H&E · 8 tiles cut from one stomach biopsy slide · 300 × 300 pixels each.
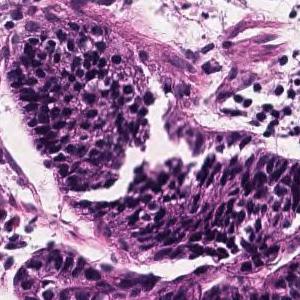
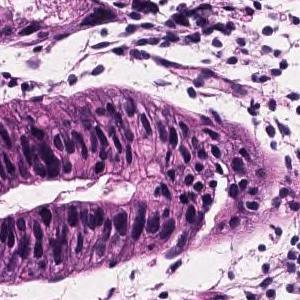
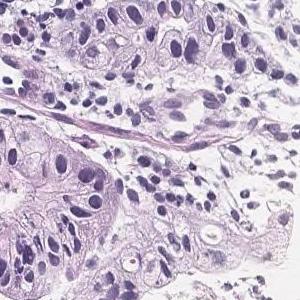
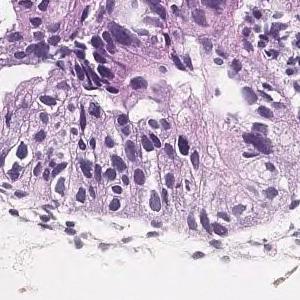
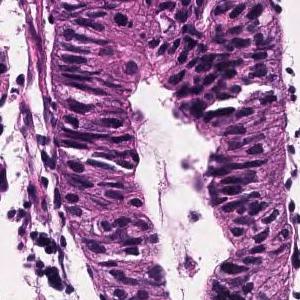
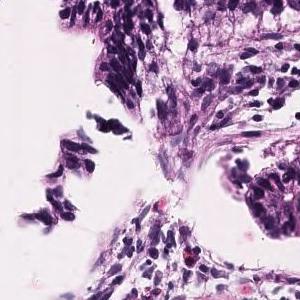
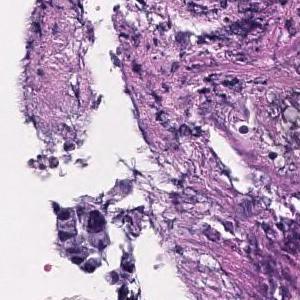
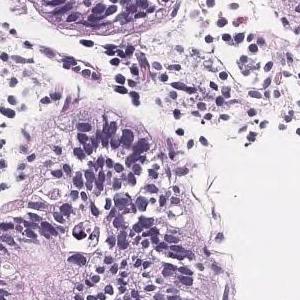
Diagnostic report for the slide these tiles come from. What the report and the diagnosis say applies to the whole slide; these tiles may miss some of the features named and may include tissue that is not tumor.
Tumor cells are large, highly columnar, large club-shaped nuclei, and are associated with chromatin aggregation. Papillary adenocarcinoma.
